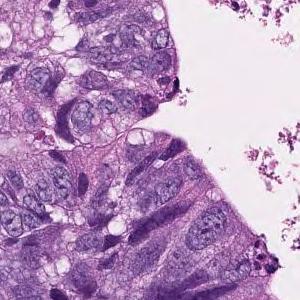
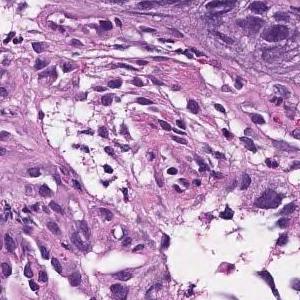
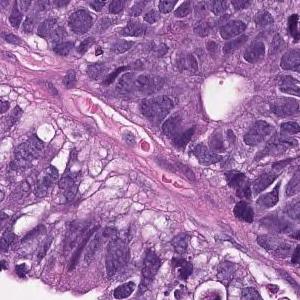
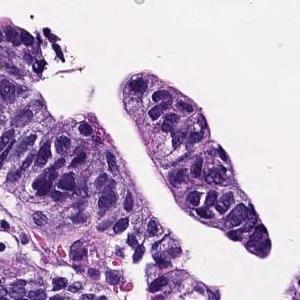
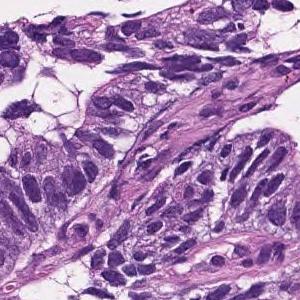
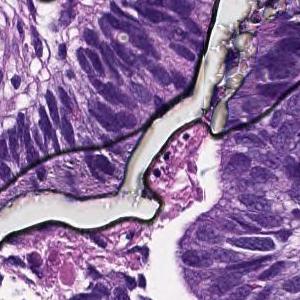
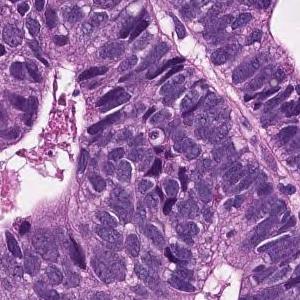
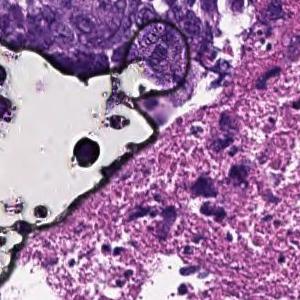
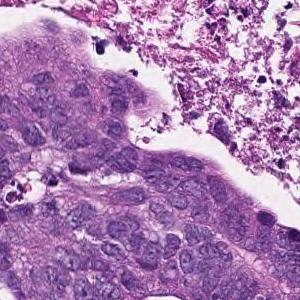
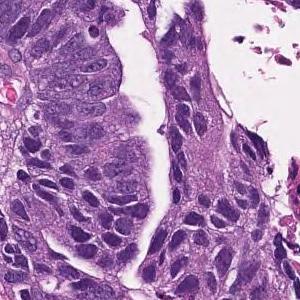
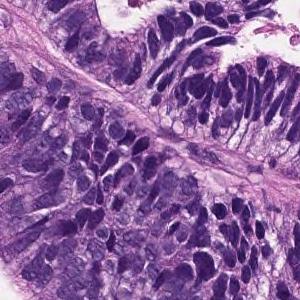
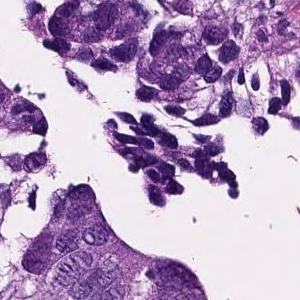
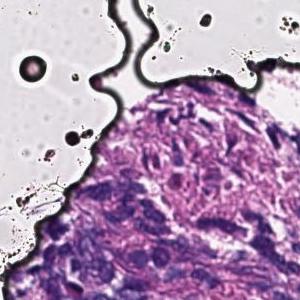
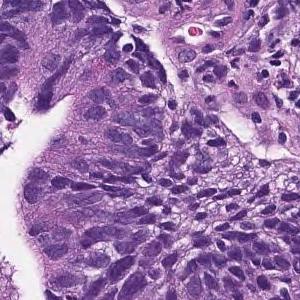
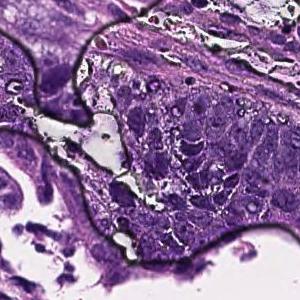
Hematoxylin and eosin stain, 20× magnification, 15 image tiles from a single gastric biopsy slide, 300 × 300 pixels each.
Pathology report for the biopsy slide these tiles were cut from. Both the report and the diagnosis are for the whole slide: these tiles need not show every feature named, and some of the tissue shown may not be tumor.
In the superficial epithelium, tumor tissue that invades by forming medium-sized to small, irregular ducts is observed. moderately differentiated tubular adenocarcinoma.
